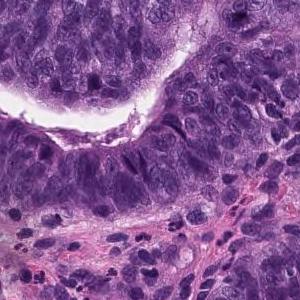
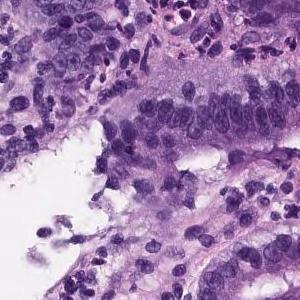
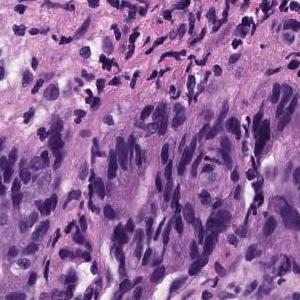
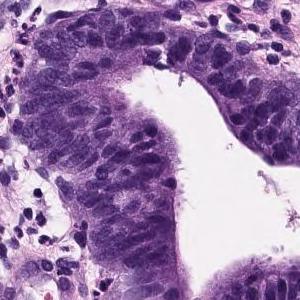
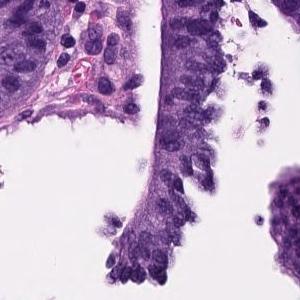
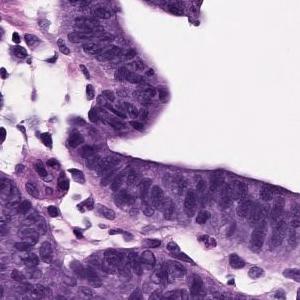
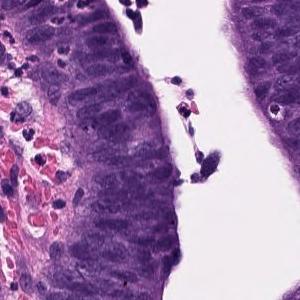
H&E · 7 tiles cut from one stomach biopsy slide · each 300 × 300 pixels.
Pathology report for the biopsy slide these tiles were cut from. What the report and the diagnosis say applies to the whole slide; these tiles may miss some of the features named and may include tissue that is not tumor.
Papillo-tubular growth of atypical tubules with nuclear swelling is observed. Well differentiated tubular adenocarcinoma
